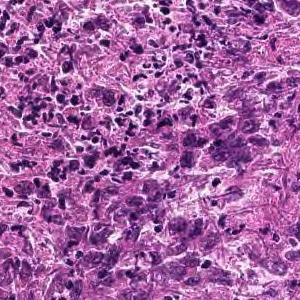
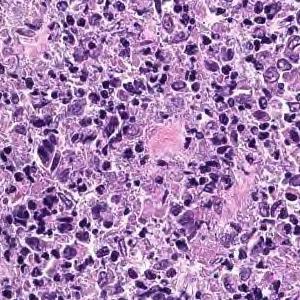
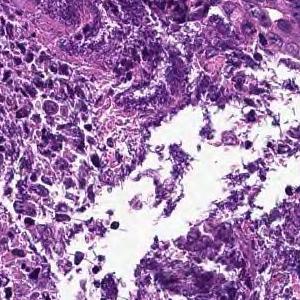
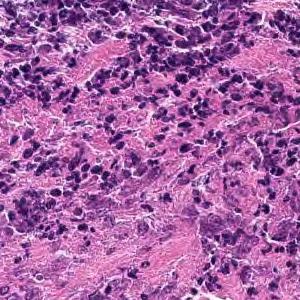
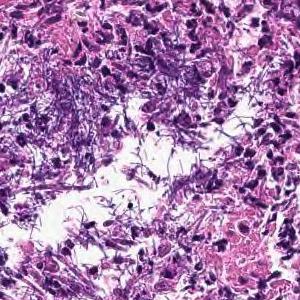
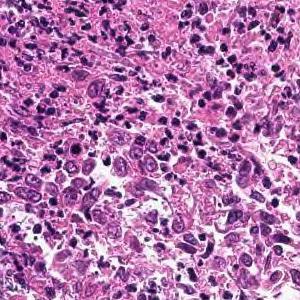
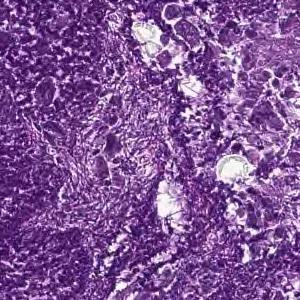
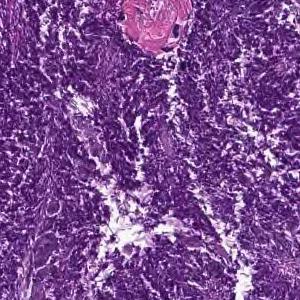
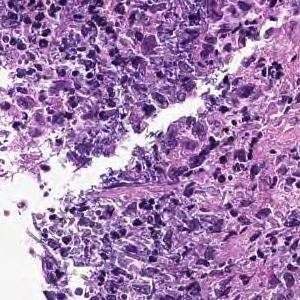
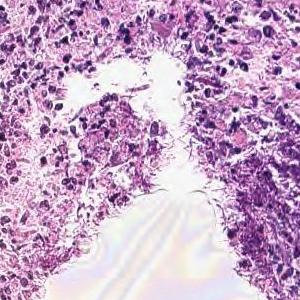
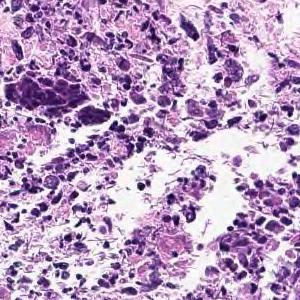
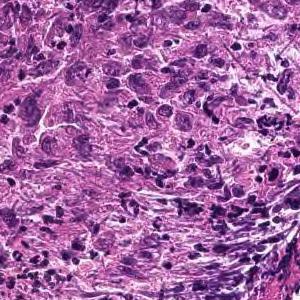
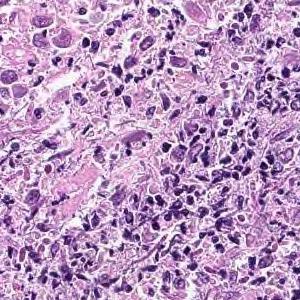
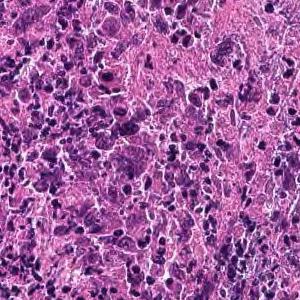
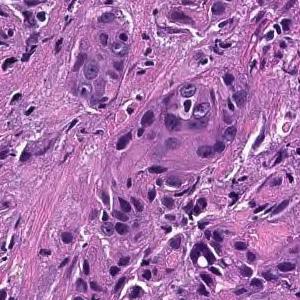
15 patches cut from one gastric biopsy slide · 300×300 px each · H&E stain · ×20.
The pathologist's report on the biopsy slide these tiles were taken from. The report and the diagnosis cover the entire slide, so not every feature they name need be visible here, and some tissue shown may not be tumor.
Cancers with polygonal nuclei do not show glandular formation and are densely, in part, cord-like and proliferate. Poorly differentiated adenocarcinoma
Tumor subtype: poorly differentiated adenocarcinoma, non-solid type.
"Non-solid type" is a category of the Japanese Classification of Gastric Carcinoma.
